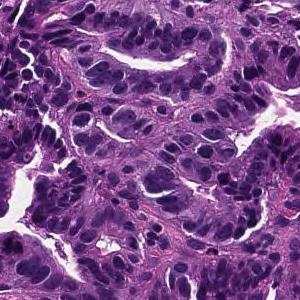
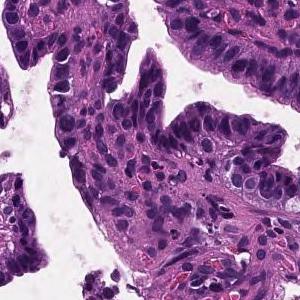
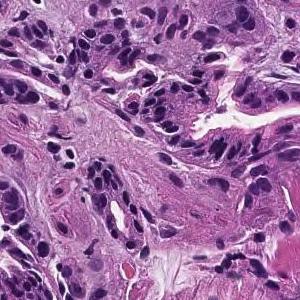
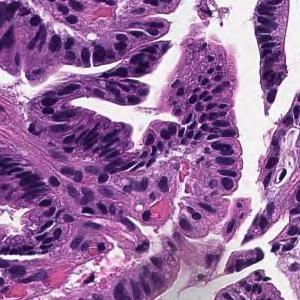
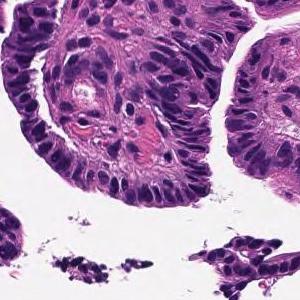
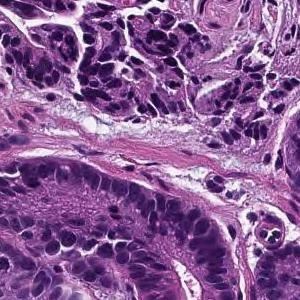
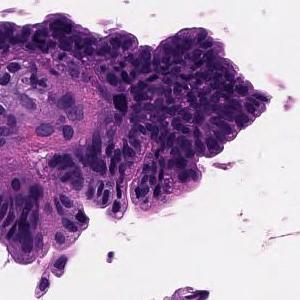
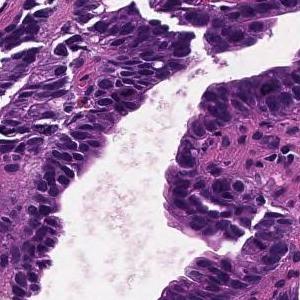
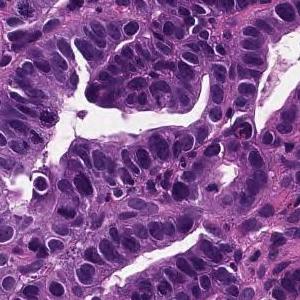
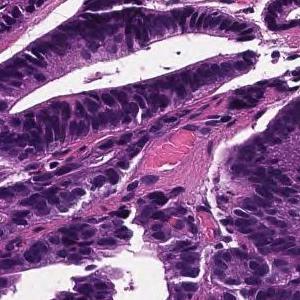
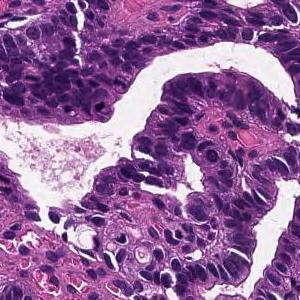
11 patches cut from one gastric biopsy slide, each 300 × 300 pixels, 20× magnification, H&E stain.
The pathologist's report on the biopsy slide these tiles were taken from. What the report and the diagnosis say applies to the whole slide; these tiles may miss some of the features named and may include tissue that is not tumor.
Tumor tissue consisting of large papillary structures is found in the superficial epithelium. Papillary adenocarcinoma.
